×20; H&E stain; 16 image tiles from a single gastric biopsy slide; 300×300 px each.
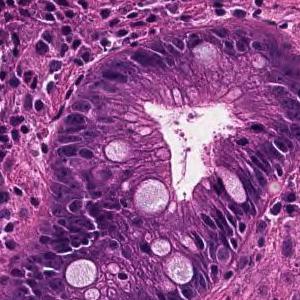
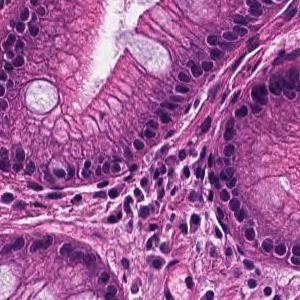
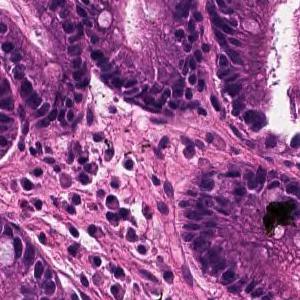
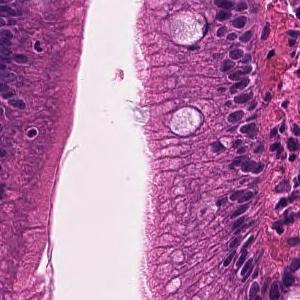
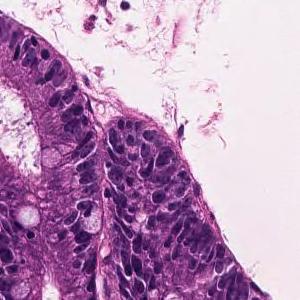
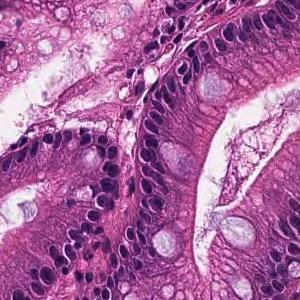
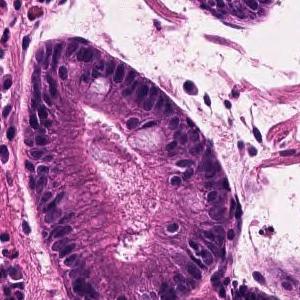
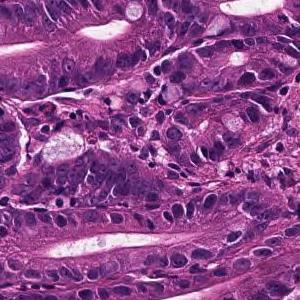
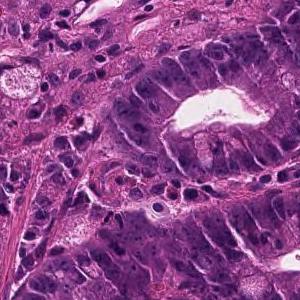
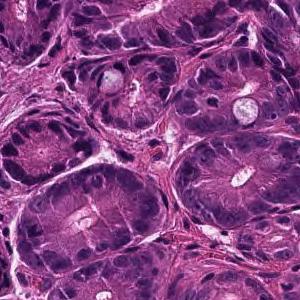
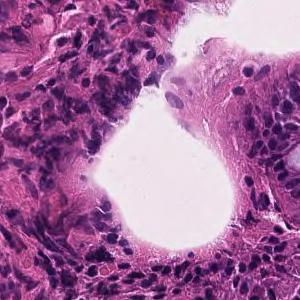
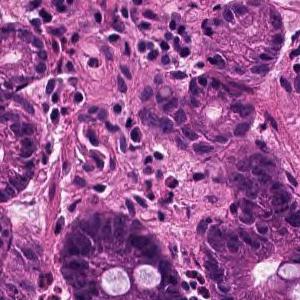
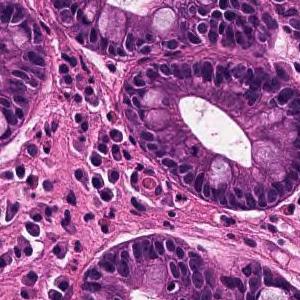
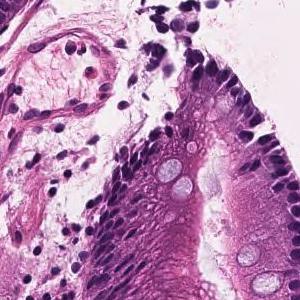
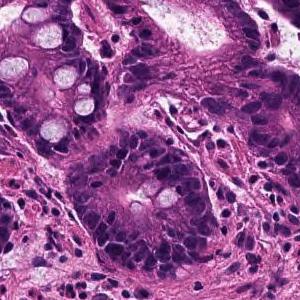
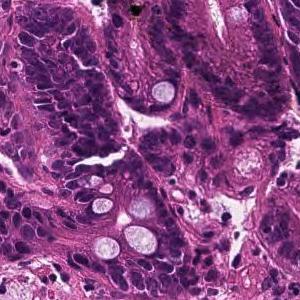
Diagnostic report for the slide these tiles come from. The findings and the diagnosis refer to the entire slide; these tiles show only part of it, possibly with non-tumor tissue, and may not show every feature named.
Medium to small, irregular glandular ducts are formed in the superficial epithelium, and in some cases, the glandular ducts are fused to show solid alveolar lesions and infiltrating tumor tissue is observed. Moderately to poorly differentiated adenocarcinoma.
